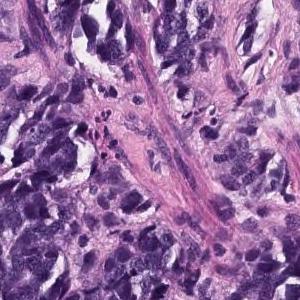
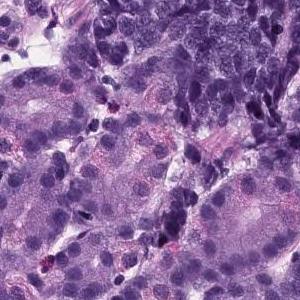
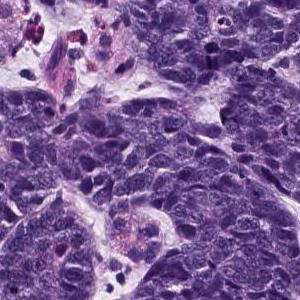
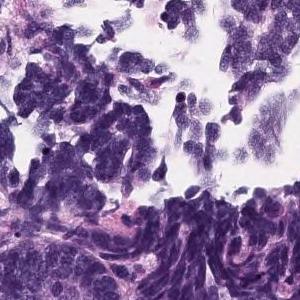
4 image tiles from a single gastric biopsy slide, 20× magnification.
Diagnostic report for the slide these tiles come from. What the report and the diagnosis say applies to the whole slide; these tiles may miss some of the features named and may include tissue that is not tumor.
Group 5, Adenocarcinoma. Moderately to poorly differentiated adenocarcinoma
